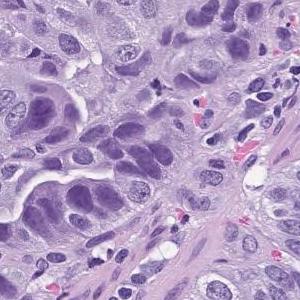
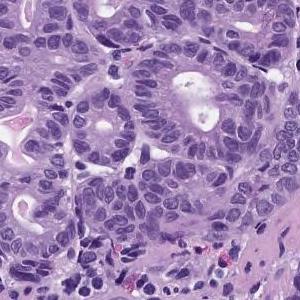
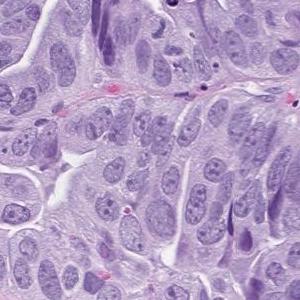
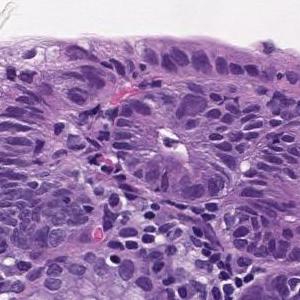
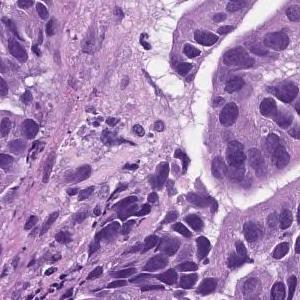
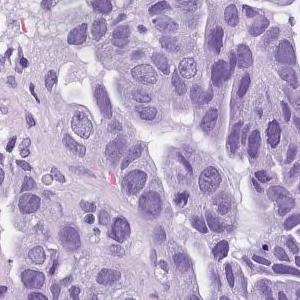
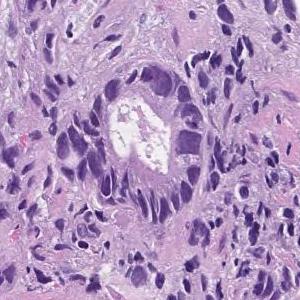
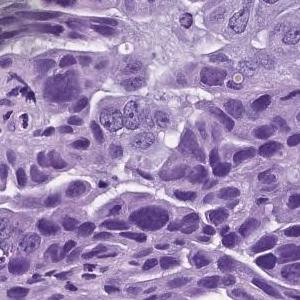
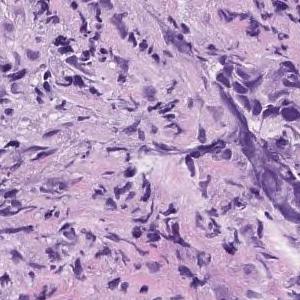
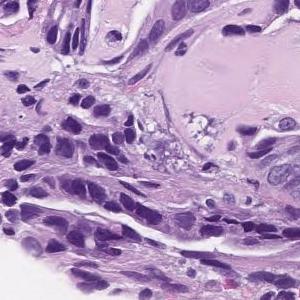
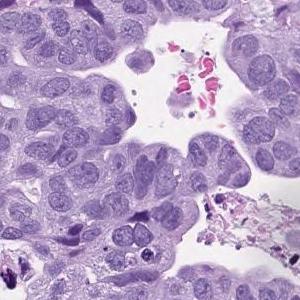
H&E stain, scanned at ×20, 11 tiles cut from one stomach biopsy slide, each 300 × 300 pixels.
Pathology report for the slide these tiles were cut from. Both the report and the diagnosis are for the whole slide: these tiles need not show every feature named, and some of the tissue shown may not be tumor.
In the superficial epithelium, tumor tissue that invades by forming medium-sized to small, irregular ducts is observed. moderately differentiated tubular adenocarcinoma.
